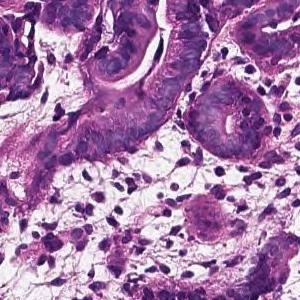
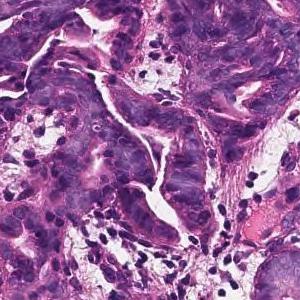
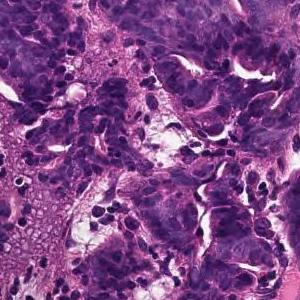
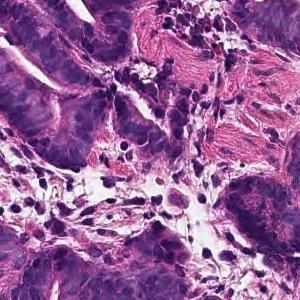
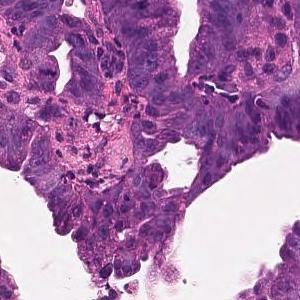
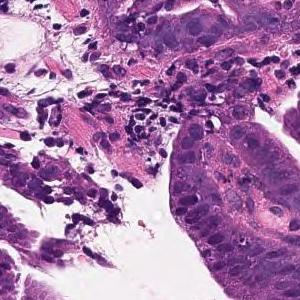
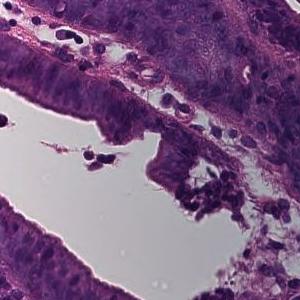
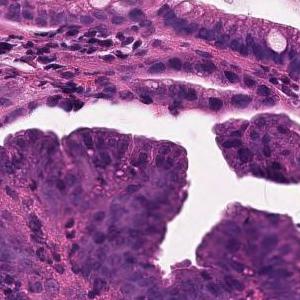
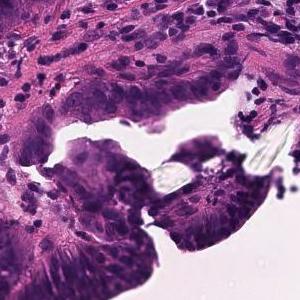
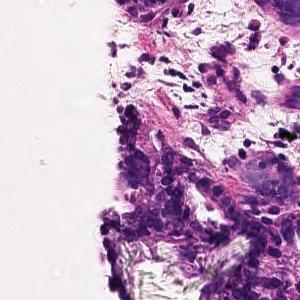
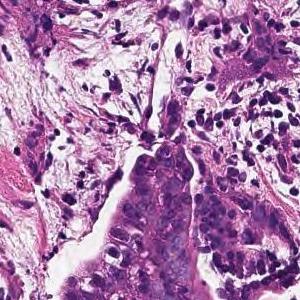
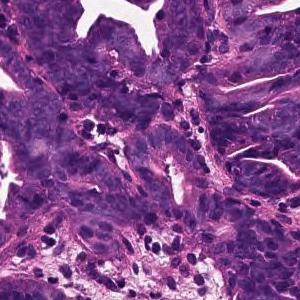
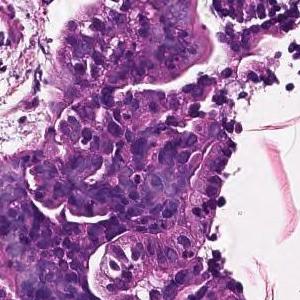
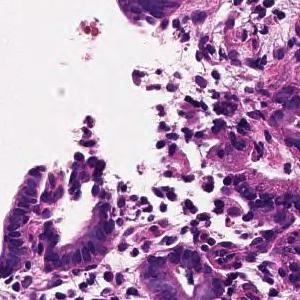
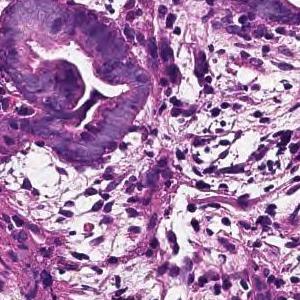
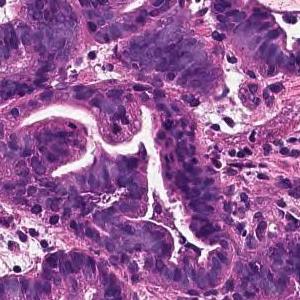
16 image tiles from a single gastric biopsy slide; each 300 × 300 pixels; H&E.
Report on the slide these tiles come from. Both the report and the diagnosis are for the whole slide: these tiles need not show every feature named, and some of the tissue shown may not be tumor.
Tumor cells are large, highly columnar, large club-shaped nuclei, and are associated with chromatin aggregation. Papillary adenocarcinoma.
